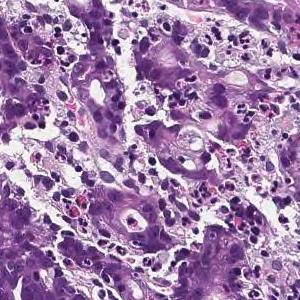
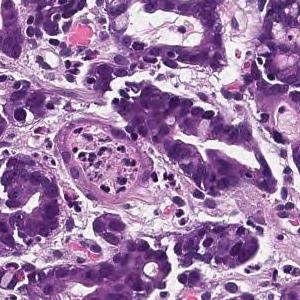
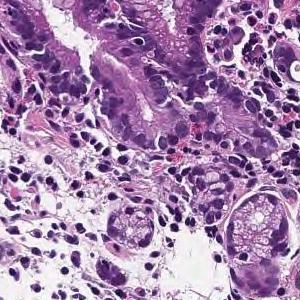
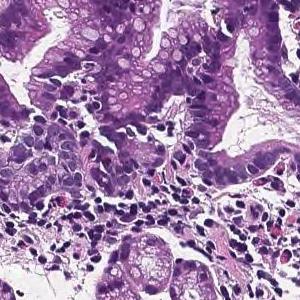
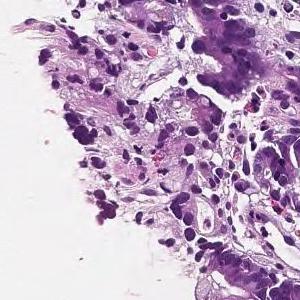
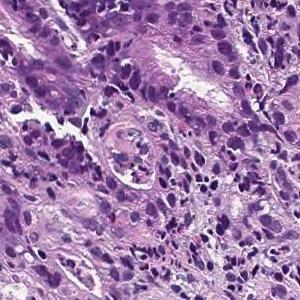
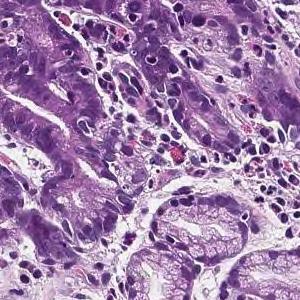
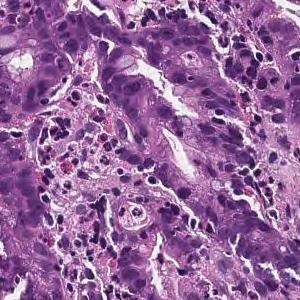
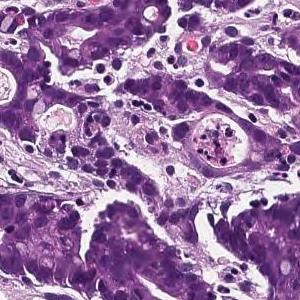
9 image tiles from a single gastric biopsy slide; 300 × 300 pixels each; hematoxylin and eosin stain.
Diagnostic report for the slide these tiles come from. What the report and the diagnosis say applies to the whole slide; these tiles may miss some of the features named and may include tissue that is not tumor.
In the superficial epithelium, tumor tissue that invades by forming medium-sized to small, irregular ducts is observed. moderately differentiated tubular adenocarcinoma.
